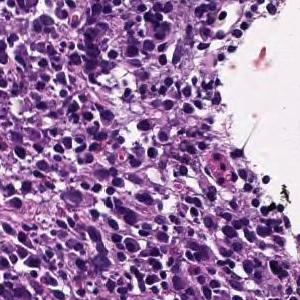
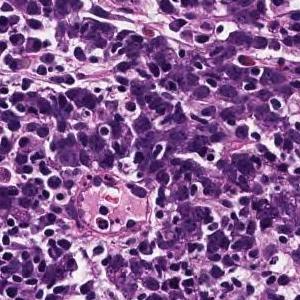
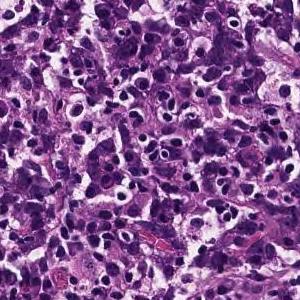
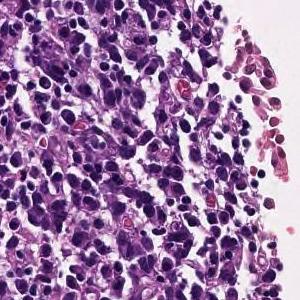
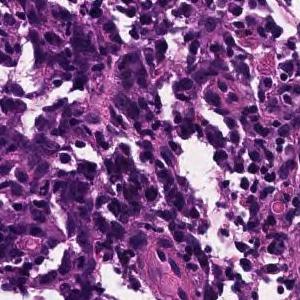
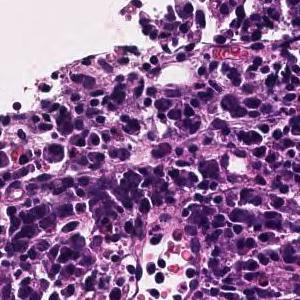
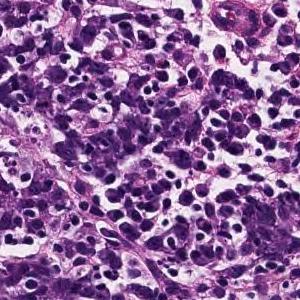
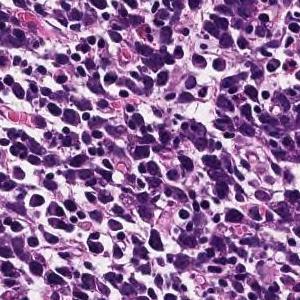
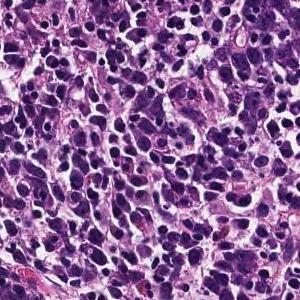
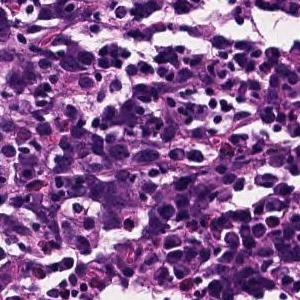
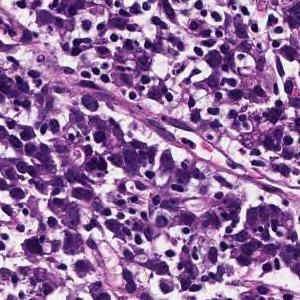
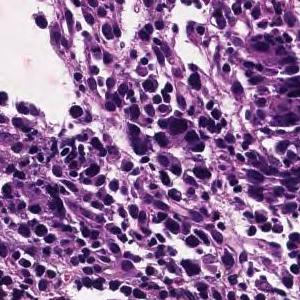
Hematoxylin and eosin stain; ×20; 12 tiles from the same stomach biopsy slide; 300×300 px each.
Pathology report for the biopsy slide these tiles were cut from. The report and the diagnosis describe the slide as a whole, so these tiles may not show every feature named and may include non-tumor tissue.
Tumor tissue consisting of cord-like or small, irregular glandular ducts fused and infiltrated is observed in the superficial epithelium. Poorly differentiated adenocarcinoma, non-solid type
The non-solid type named here is a Japanese Classification of Gastric Carcinoma category.
